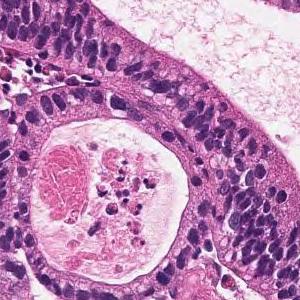
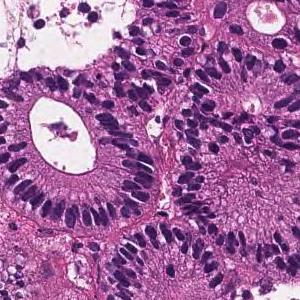
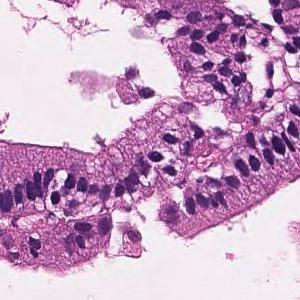
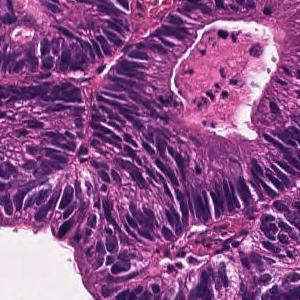
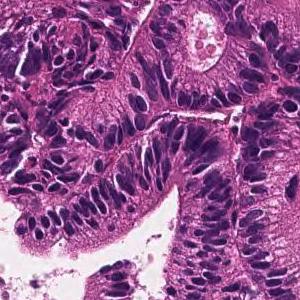
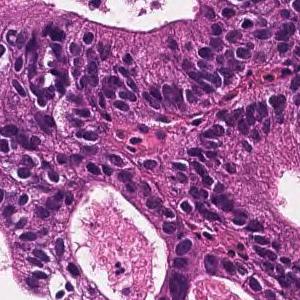
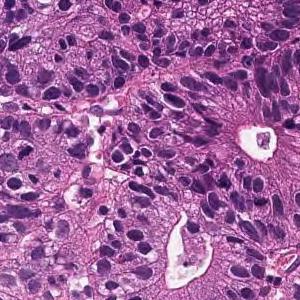
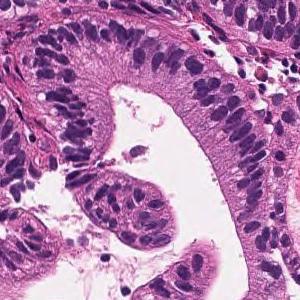
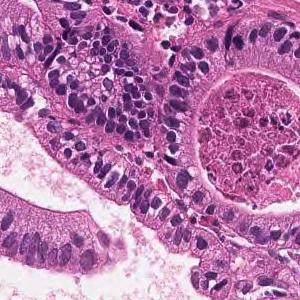
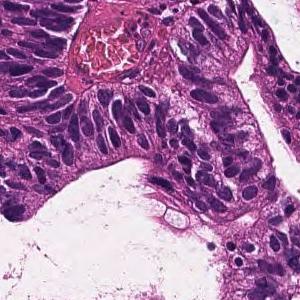
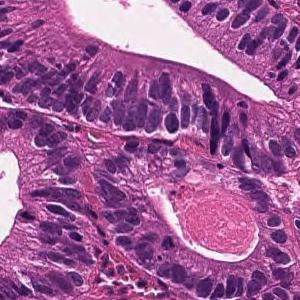
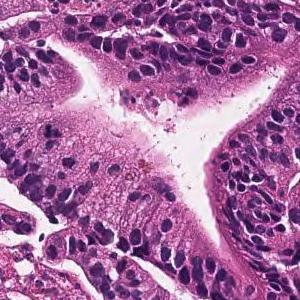
12 tiles from the same stomach biopsy slide · 300×300 px each · H&E stain.
Report on the slide these tiles come from. Both the report and the diagnosis are for the whole slide: these tiles need not show every feature named, and some of the tissue shown may not be tumor.
From the superficial epithelium to the muscularis mucosae, tumor tissue infiltrating by forming medium-sized irregular gland ducts is observed. Large tumor cells exhibit large nucleus and hyperchromatism. Well differentiated tubular adenocarcinoma
